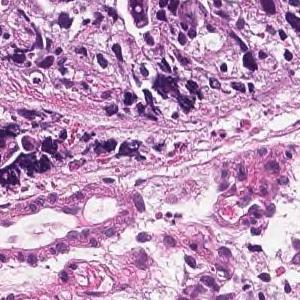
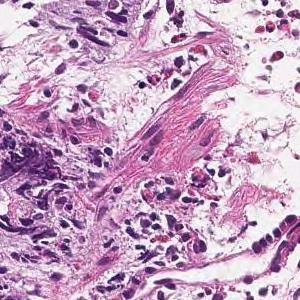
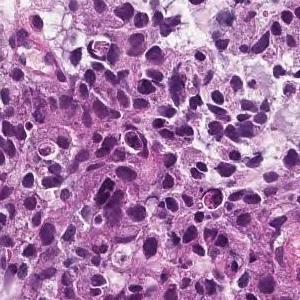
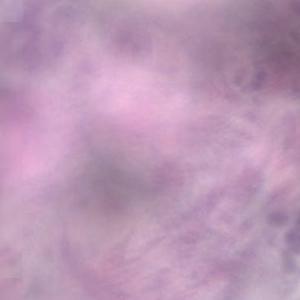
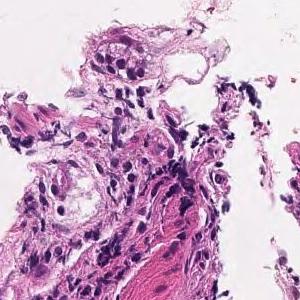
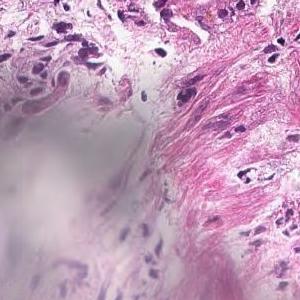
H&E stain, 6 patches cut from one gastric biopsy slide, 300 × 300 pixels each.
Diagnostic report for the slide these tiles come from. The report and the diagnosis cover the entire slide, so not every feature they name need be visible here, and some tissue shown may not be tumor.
In the superficial epithelium, tumor tissue that invades by forming medium-sized to small, irregular ducts is observed. moderately differentiated tubular adenocarcinoma.
